12 image tiles from a single gastric biopsy slide · each 300 × 300 pixels · 20× magnification · H&E stain.
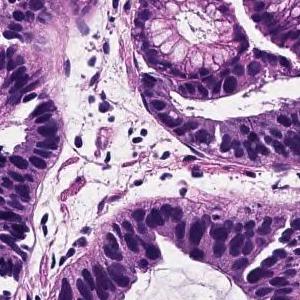
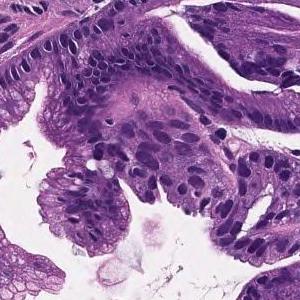
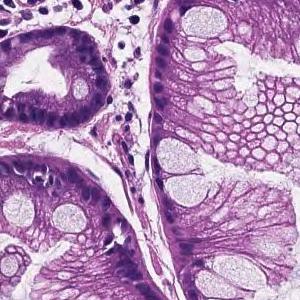
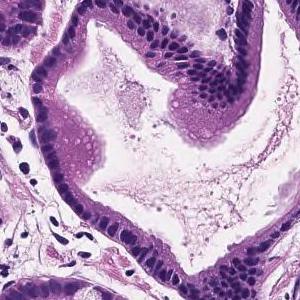
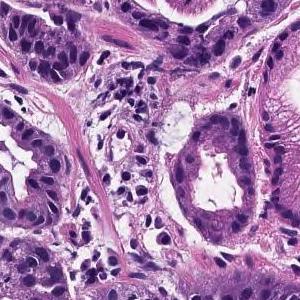
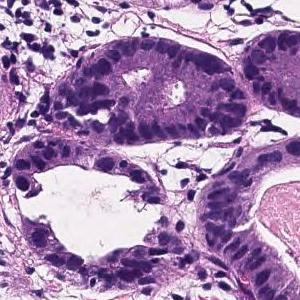
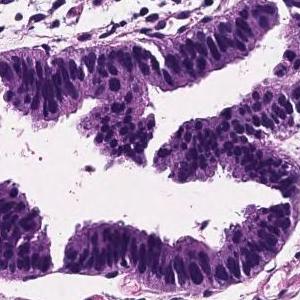
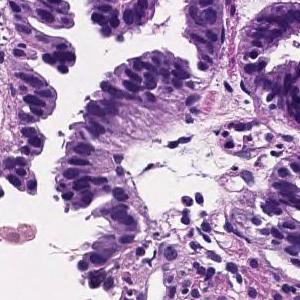
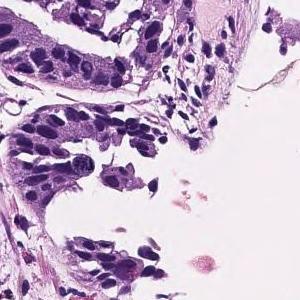
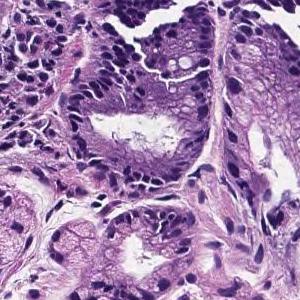
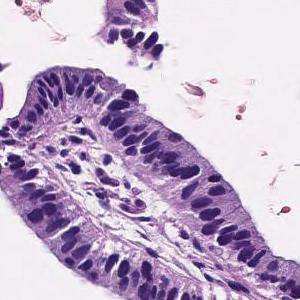
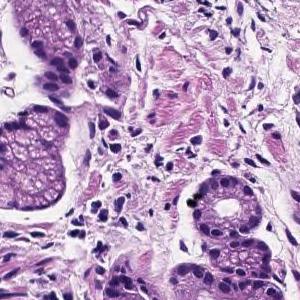
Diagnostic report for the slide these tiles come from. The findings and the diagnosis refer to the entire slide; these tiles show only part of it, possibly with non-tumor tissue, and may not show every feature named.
Tumor cells are large, highly columnar, large club-shaped nuclei, and are associated with chromatin aggregation. Papillary adenocarcinoma.
